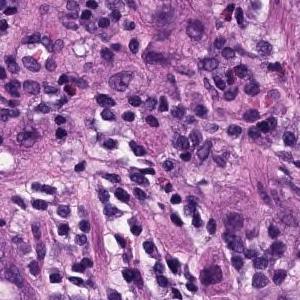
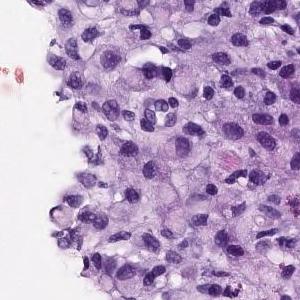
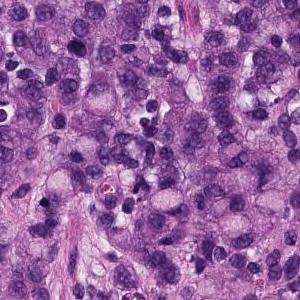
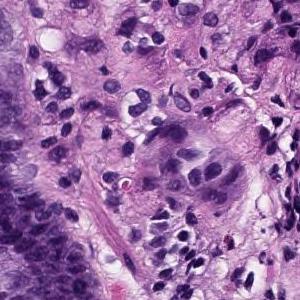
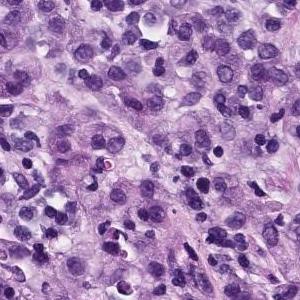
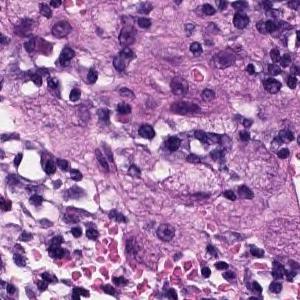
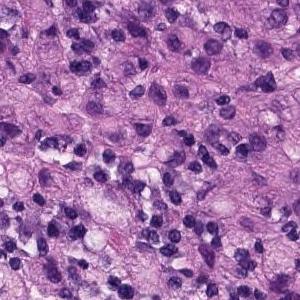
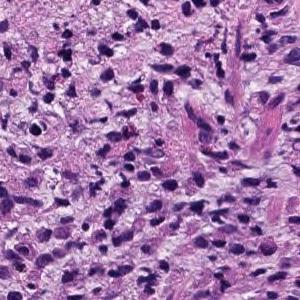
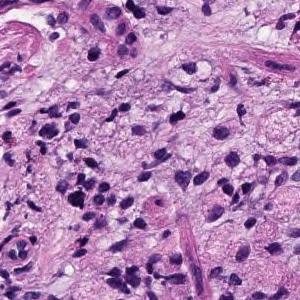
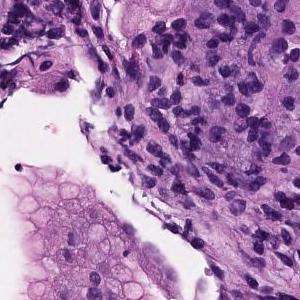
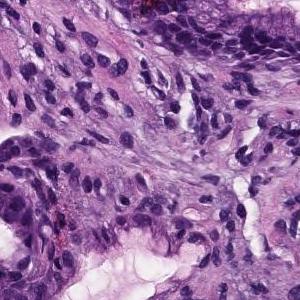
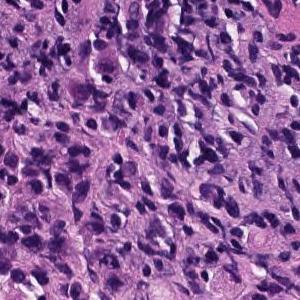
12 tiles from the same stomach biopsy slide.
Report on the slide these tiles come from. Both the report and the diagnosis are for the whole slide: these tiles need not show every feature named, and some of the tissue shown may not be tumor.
The superficial epithelium shows a large sheet-like shape, and some tumor tissue infiltrates with small irregular ducts. Poorly differentiated adenocarcinoma, solid-type
Tumor subtype: poorly differentiated adenocarcinoma, solid type, a category of the Japanese Classification of Gastric Carcinoma; in the WHO 2019 classification it is tubular adenocarcinoma, poorly differentiated.
